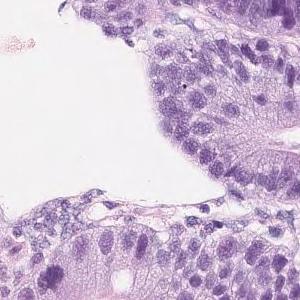
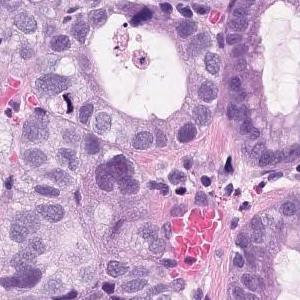
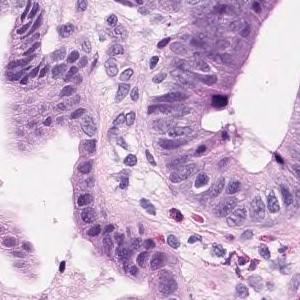
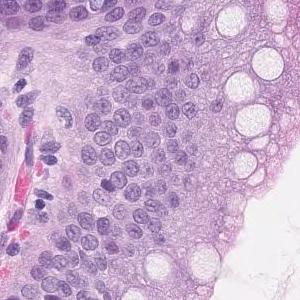
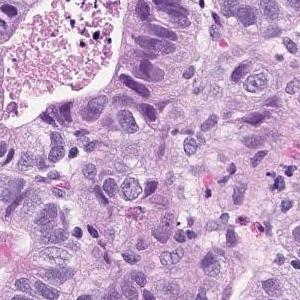
5 tiles cut from one stomach biopsy slide · 300×300 px each · H&E · scanned at ×20.
Report on the slide these tiles come from. Both the report and the diagnosis are for the whole slide: these tiles need not show every feature named, and some of the tissue shown may not be tumor.
Short atypical epithelium with swelling of the nucleus shows proliferating, large and small irregular ductal structures. Well to moderately differentiated tubular adenocarcinoma (well differentiated tubular adenocarcinoma-moderately differentiated tubular adenocarcinoma)
Histologic type: Well to moderately differentiated tubular adenocarcinoma.
